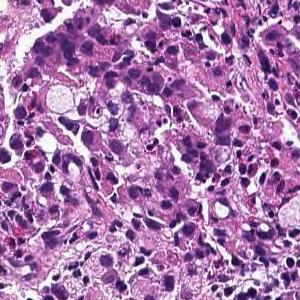
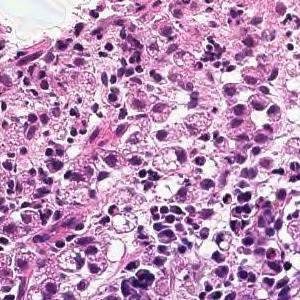
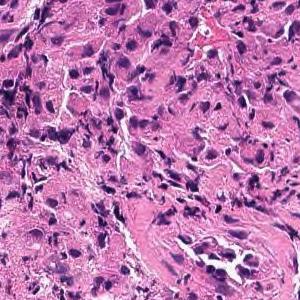
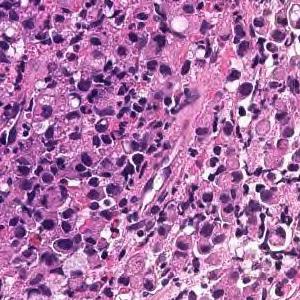
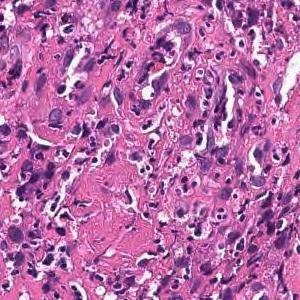
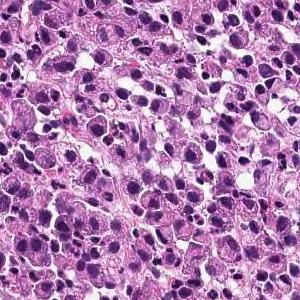
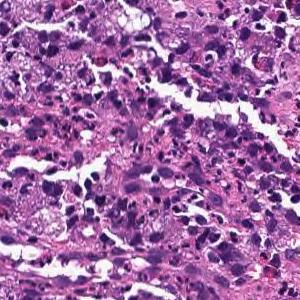
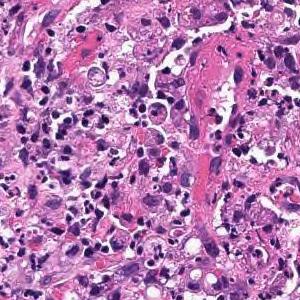
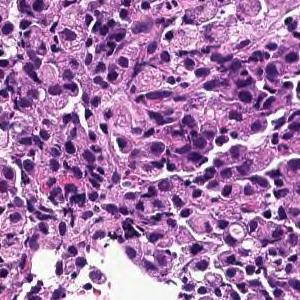
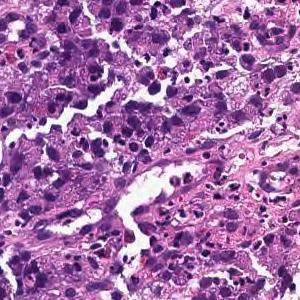
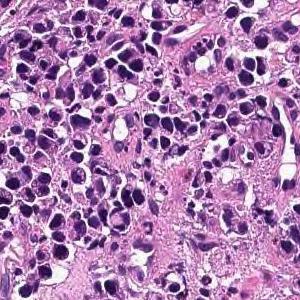
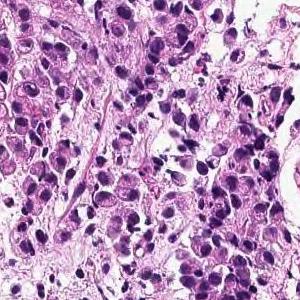
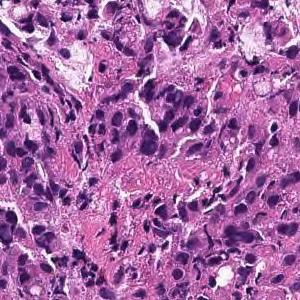
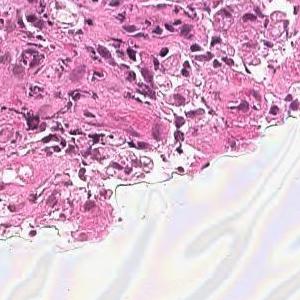
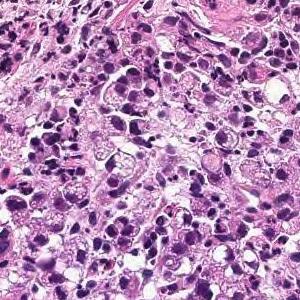
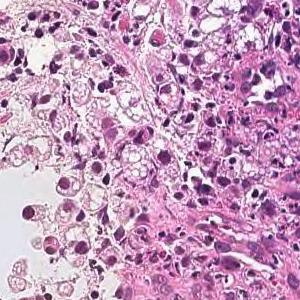
16 tiles cut from one stomach biopsy slide; each 300 × 300 pixels; H&E; 20× magnification.
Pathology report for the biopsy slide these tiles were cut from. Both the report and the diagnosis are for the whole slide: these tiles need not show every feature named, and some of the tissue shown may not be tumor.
Tumor tissue consisting of diffusely infiltrated large atypical epithelial cells or signet ring atypical cells is observed in the superficial epithelium. Poorly differentiated adenocarcinoma, solid-type
Histologic type: Poorly differentiated adenocarcinoma, solid type. This name comes from the Japanese Classification of Gastric Carcinoma; the WHO 2019 classification calls it tubular adenocarcinoma, poorly differentiated.
